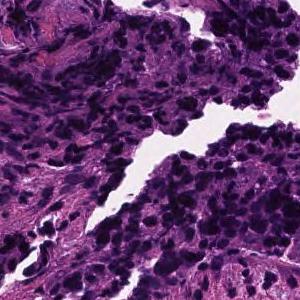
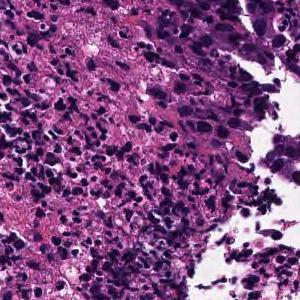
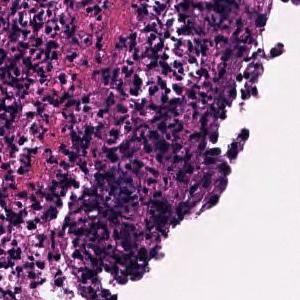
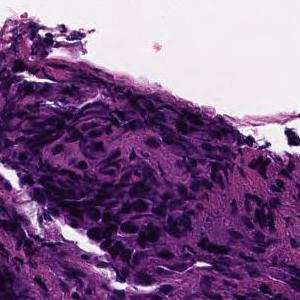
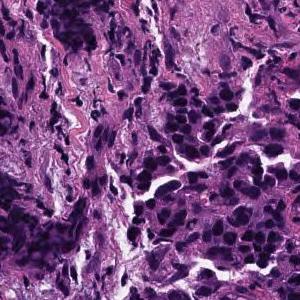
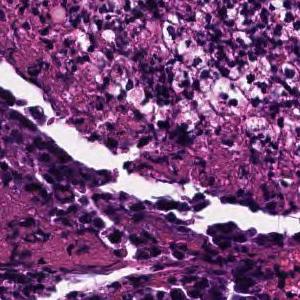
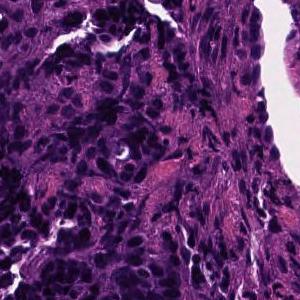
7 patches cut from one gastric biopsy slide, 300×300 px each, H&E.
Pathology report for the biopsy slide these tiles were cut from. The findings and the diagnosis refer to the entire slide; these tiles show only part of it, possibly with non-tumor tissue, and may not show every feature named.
In the superficial epithelium, tumor tissue that invades by forming medium-sized to small, irregular ducts is observed. moderately differentiated tubular adenocarcinoma.
